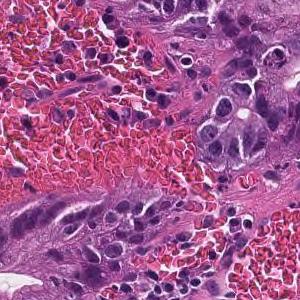
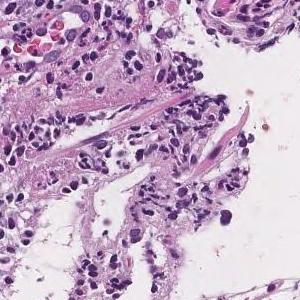
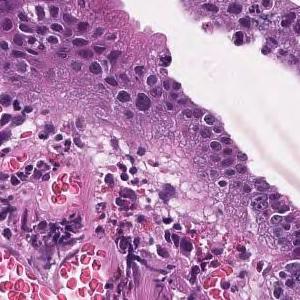
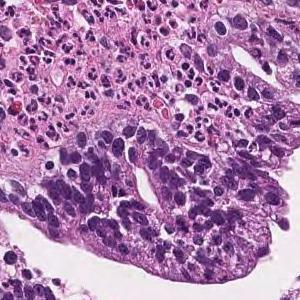
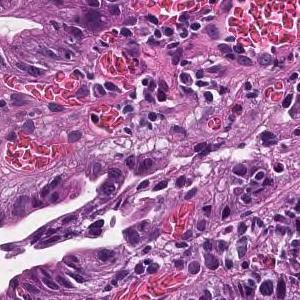
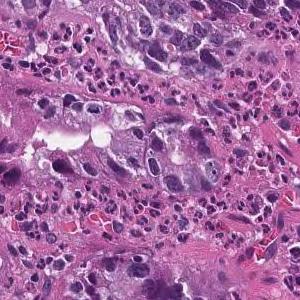
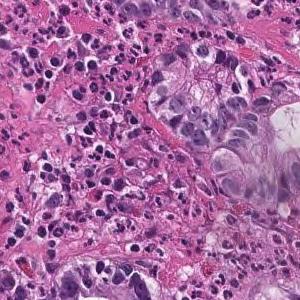
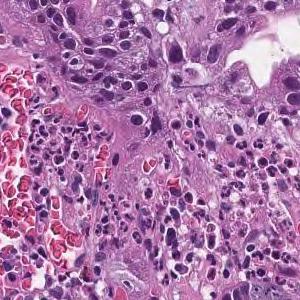
20× magnification, 8 tiles cut from one stomach biopsy slide, 300×300 px each.
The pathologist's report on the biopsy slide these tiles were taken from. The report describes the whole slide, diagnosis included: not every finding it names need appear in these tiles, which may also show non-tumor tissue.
Tumor cells are large, highly columnar, large club-shaped nuclei, and are associated with chromatin aggregation. Papillary adenocarcinoma.
